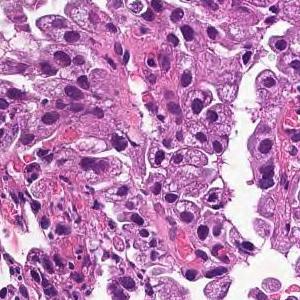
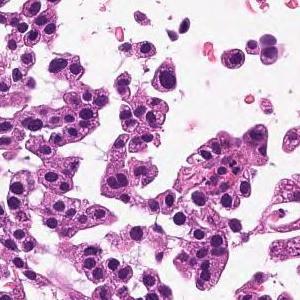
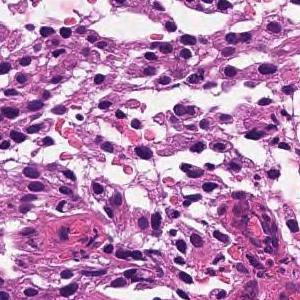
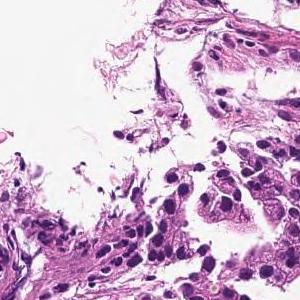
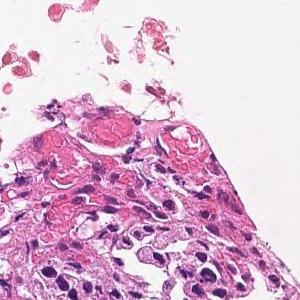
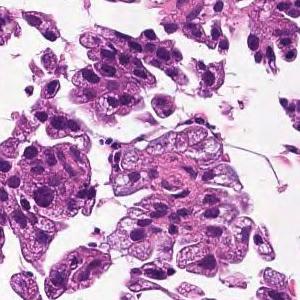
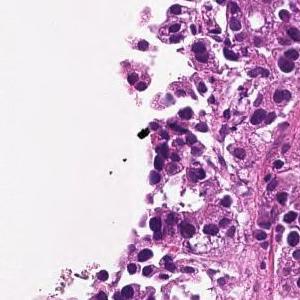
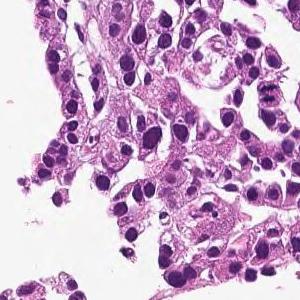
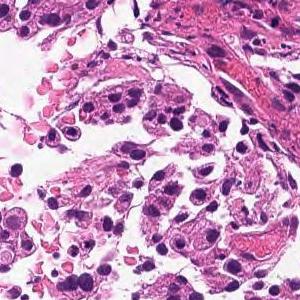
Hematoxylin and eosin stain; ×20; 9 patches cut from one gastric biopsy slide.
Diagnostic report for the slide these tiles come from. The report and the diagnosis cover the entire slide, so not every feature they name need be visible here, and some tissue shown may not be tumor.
In the superficial epithelium, tumor tissue that invades by forming medium-sized to small, irregular ducts is observed. moderately differentiated tubular adenocarcinoma.
